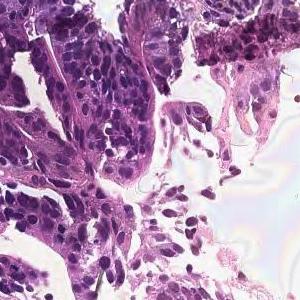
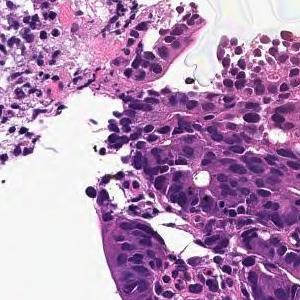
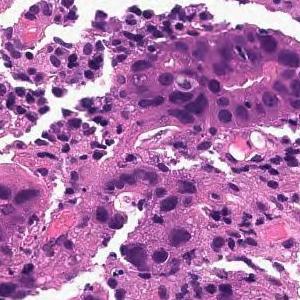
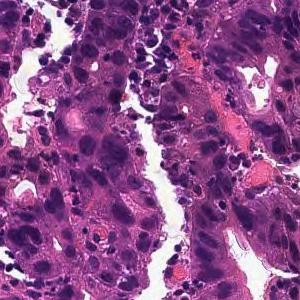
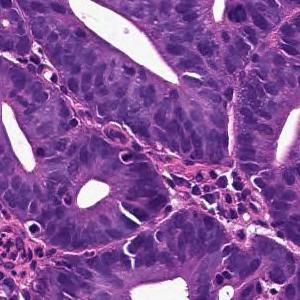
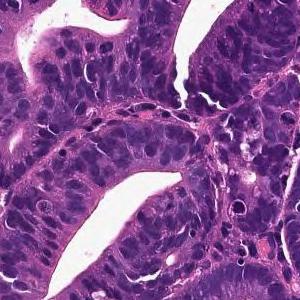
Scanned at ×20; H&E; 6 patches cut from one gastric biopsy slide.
Pathology report for the slide these tiles were cut from. What the report and the diagnosis say applies to the whole slide; these tiles may miss some of the features named and may include tissue that is not tumor.
On the superficial epithelium, tumor tissue consisting of large irregular glandular ducts partially fused and infiltrated is observed. Well to moderately differentiated tubular adenocarcinoma (well differentiated tubular adenocarcinoma, moderately differentiated tubular adenocarcinoma)
Classified as well to moderately differentiated tubular adenocarcinoma.
